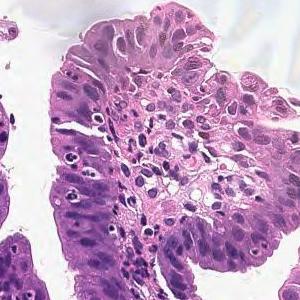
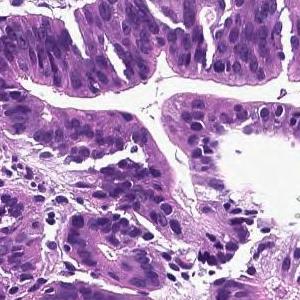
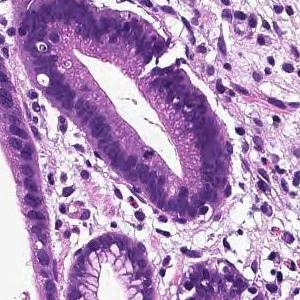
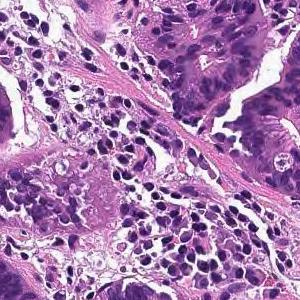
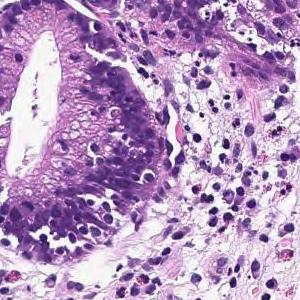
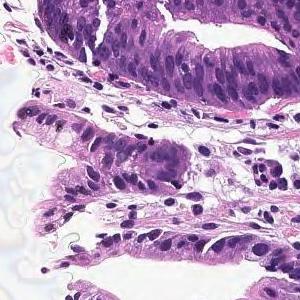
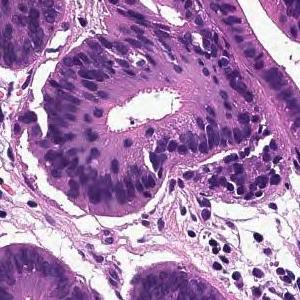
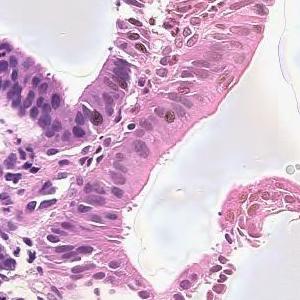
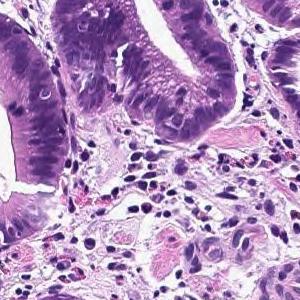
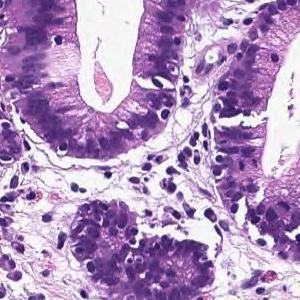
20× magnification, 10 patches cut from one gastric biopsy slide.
The pathologist's report on the biopsy slide these tiles were taken from. The report and the diagnosis describe the slide as a whole, so these tiles may not show every feature named and may include non-tumor tissue.
Infiltrating tumor tissue is observed in the superficial epithelium, showing large papillary structures or large and small ducts. Papillary adenocarcinoma
